H&E, 20× magnification, 8 patches cut from one gastric biopsy slide, each 300 × 300 pixels.
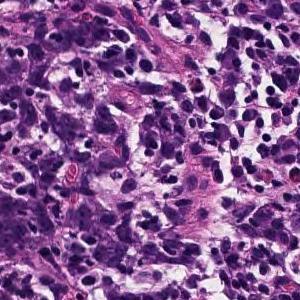
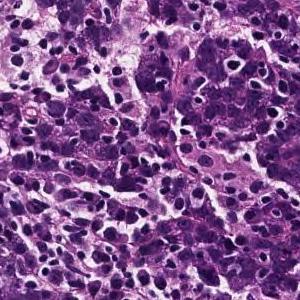
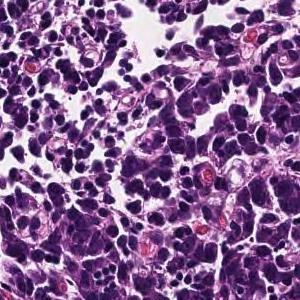
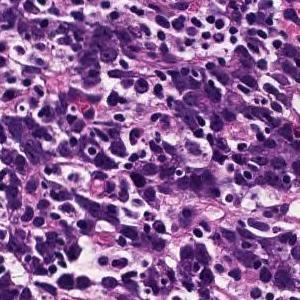
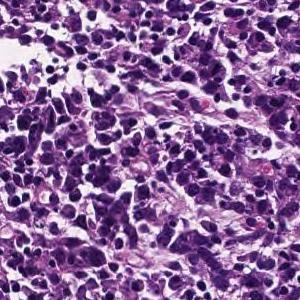
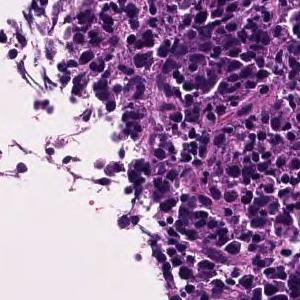
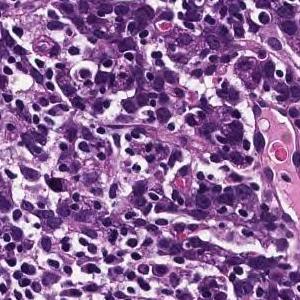
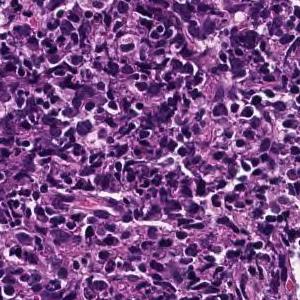
Report on the slide these tiles come from. The report and the diagnosis cover the entire slide, so not every feature they name need be visible here, and some tissue shown may not be tumor.
Tumor tissue consisting of cord-like or small, irregular glandular ducts fused and infiltrated is observed in the superficial epithelium. Poorly differentiated adenocarcinoma, non-solid type
"Non-solid type" is a category of the Japanese Classification of Gastric Carcinoma.
